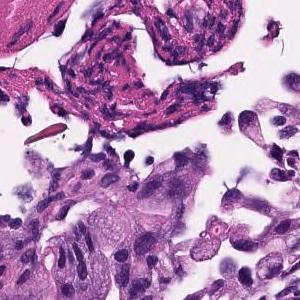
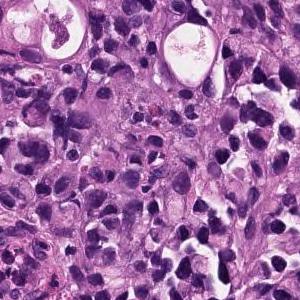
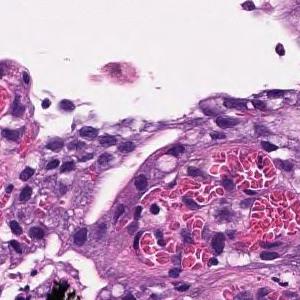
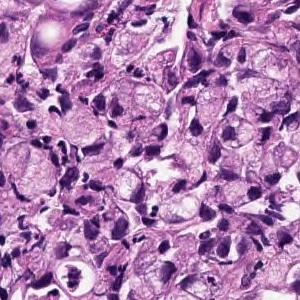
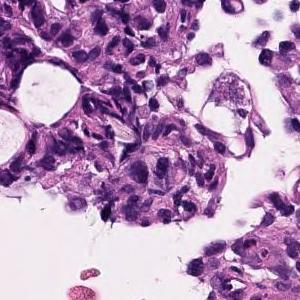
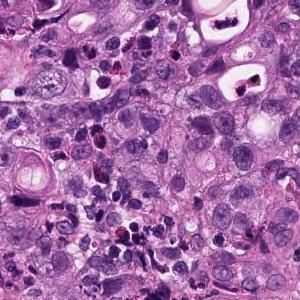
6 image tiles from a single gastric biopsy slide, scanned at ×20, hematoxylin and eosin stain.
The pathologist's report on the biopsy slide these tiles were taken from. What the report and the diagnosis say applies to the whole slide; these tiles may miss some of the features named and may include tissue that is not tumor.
Atypical epithelium forms irregularly fused gland ducts and proliferates. Poorly differentiated adenocarcinoma.
Classified as poorly differentiated adenocarcinoma, non-solid type.
The non-solid type named here is a Japanese Classification of Gastric Carcinoma category.
